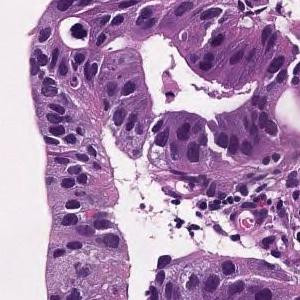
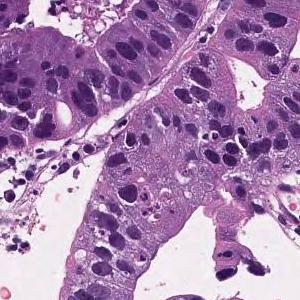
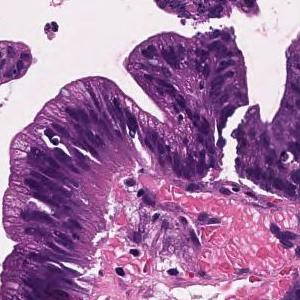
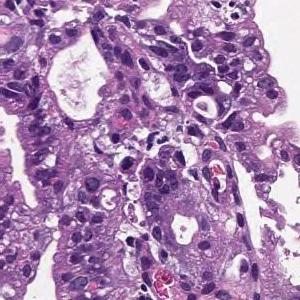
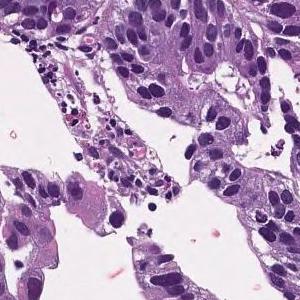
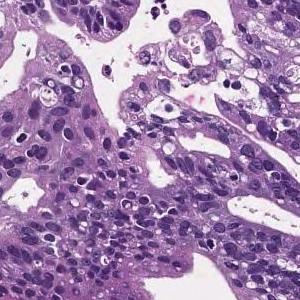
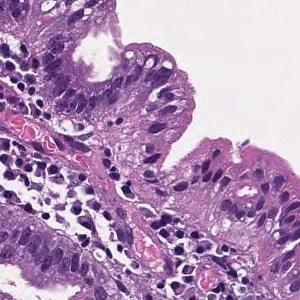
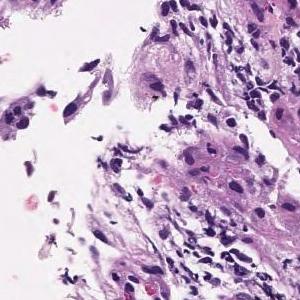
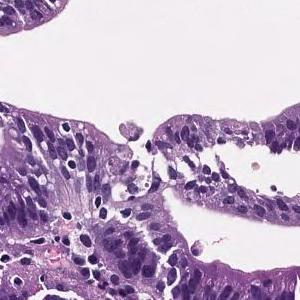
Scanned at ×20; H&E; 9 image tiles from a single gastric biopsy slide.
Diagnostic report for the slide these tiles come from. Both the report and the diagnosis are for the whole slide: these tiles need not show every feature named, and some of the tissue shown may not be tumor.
Tumor cells are large, highly columnar, large club-shaped nuclei, and are associated with chromatin aggregation. Papillary adenocarcinoma.
